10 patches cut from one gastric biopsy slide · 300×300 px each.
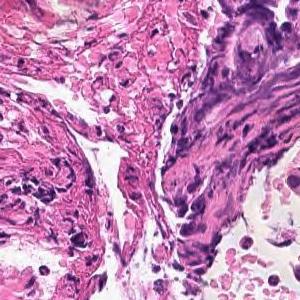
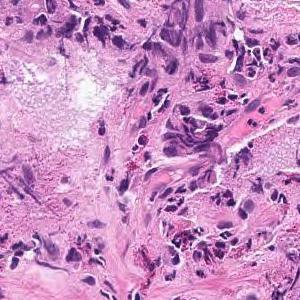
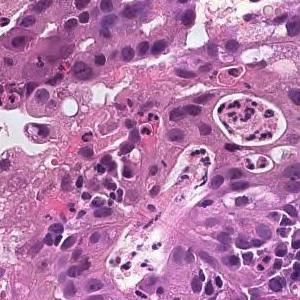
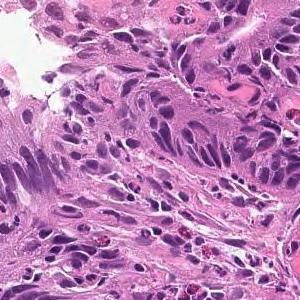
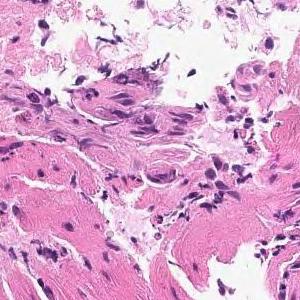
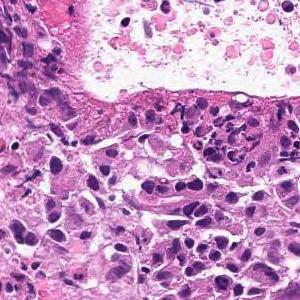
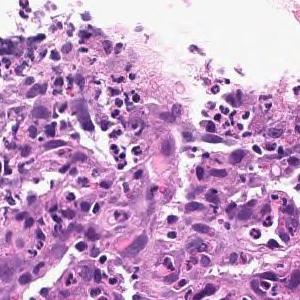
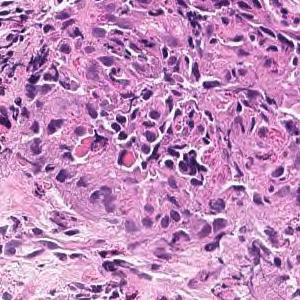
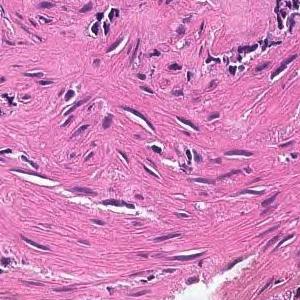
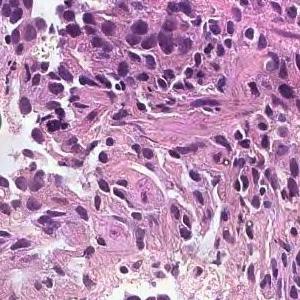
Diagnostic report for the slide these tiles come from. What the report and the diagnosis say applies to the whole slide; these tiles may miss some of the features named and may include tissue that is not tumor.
On the superficial epithelium, tumor tissue consisting of large irregular glandular ducts partially fused and infiltrated is observed. Well to moderately differentiated tubular adenocarcinoma (well differentiated tubular adenocarcinoma, moderately differentiated tubular adenocarcinoma)
Histologic type: Well to moderately differentiated tubular adenocarcinoma.
